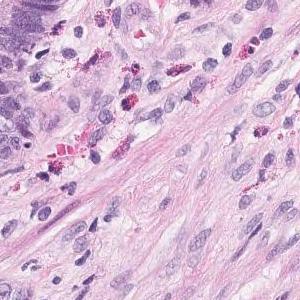
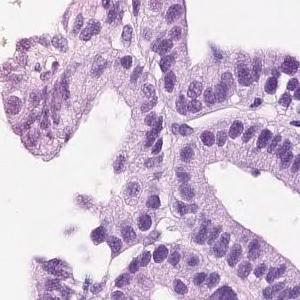
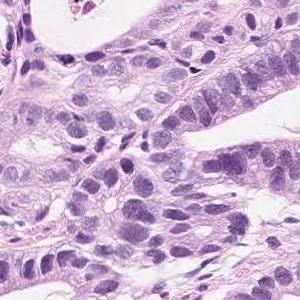
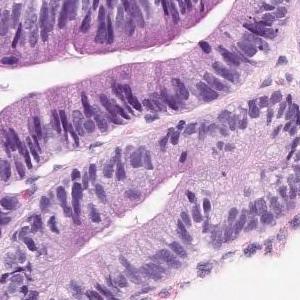
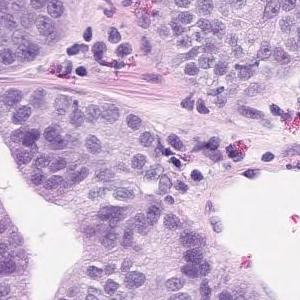
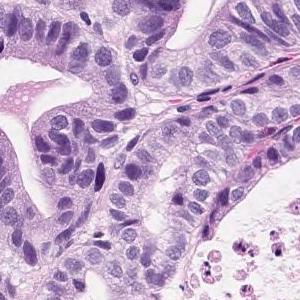
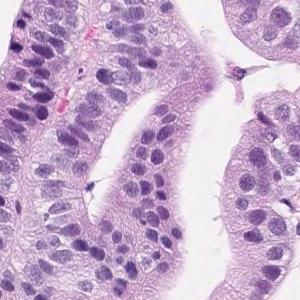
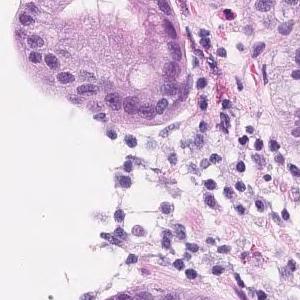
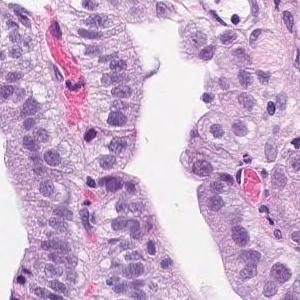
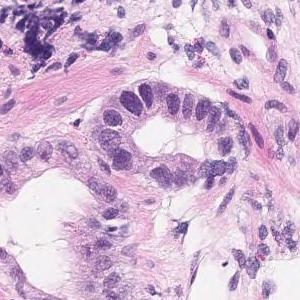
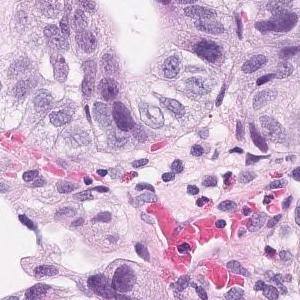
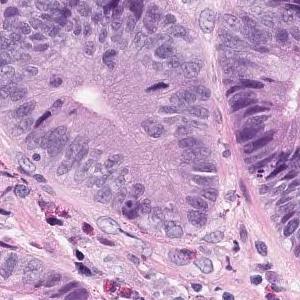
Scanned at ×20; H&E; 12 patches cut from one gastric biopsy slide.
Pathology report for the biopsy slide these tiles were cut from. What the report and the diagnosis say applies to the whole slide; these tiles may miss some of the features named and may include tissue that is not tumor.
Short atypical epithelium with swelling of the nucleus shows proliferating, large and small irregular ductal structures. Well to moderately differentiated tubular adenocarcinoma (well differentiated tubular adenocarcinoma-moderately differentiated tubular adenocarcinoma)
Subtype: Well to moderately differentiated tubular adenocarcinoma.
